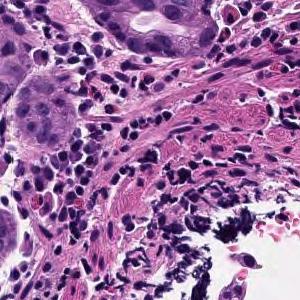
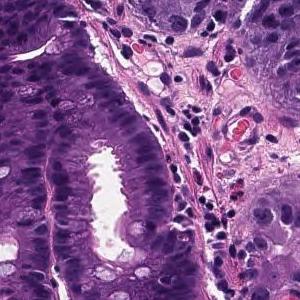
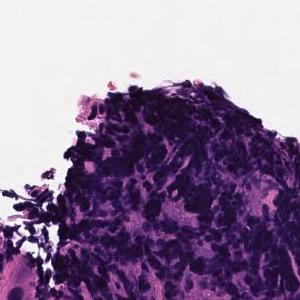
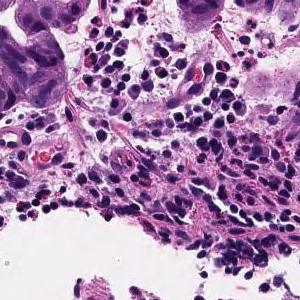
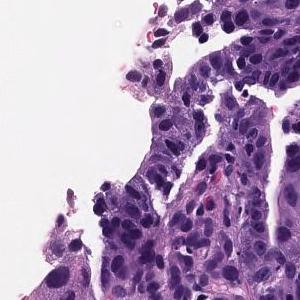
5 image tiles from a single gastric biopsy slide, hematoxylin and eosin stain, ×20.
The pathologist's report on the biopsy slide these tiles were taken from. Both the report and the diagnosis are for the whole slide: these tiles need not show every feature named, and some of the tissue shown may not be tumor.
On the superficial epithelium, tumor tissue consisting of large irregular glandular ducts partially fused and infiltrated is observed. Well to moderately differentiated tubular adenocarcinoma (well differentiated tubular adenocarcinoma, moderately differentiated tubular adenocarcinoma)
Tumor subtype: well to moderately differentiated tubular adenocarcinoma.
